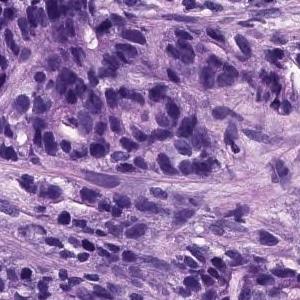
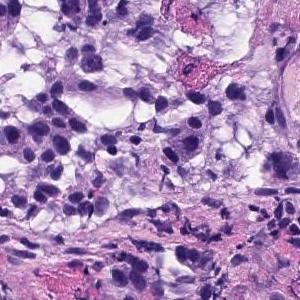
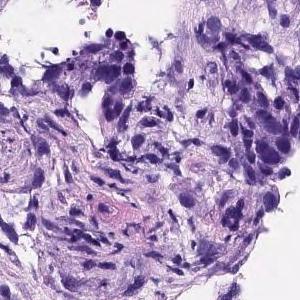
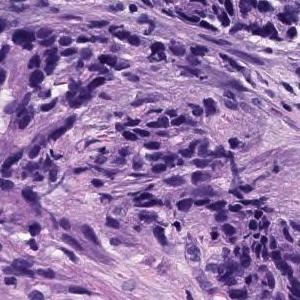
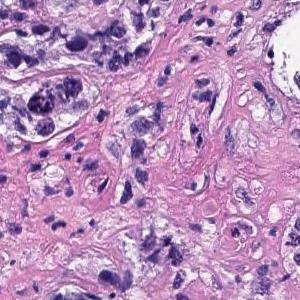
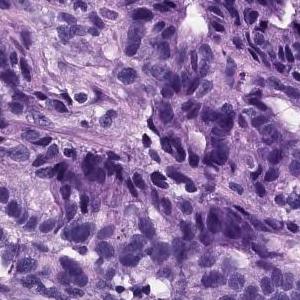
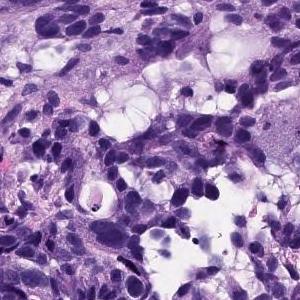
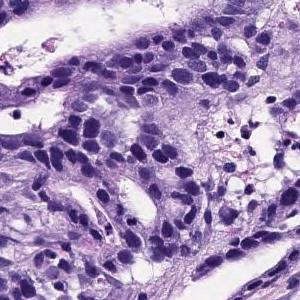
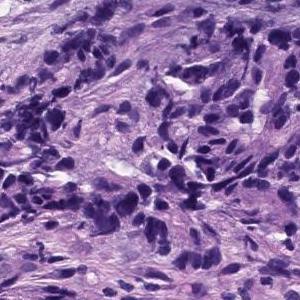
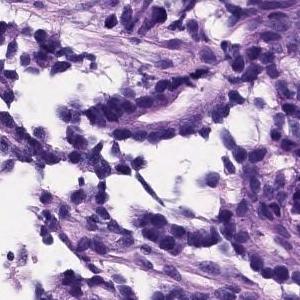
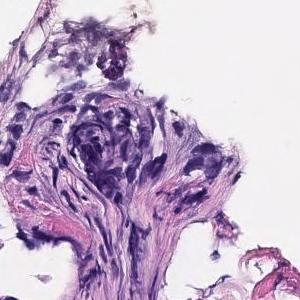
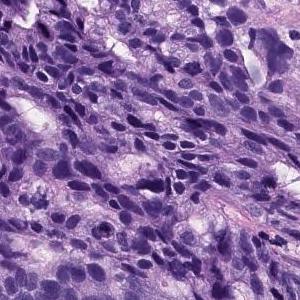
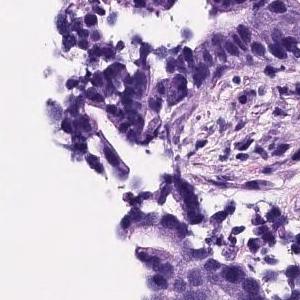
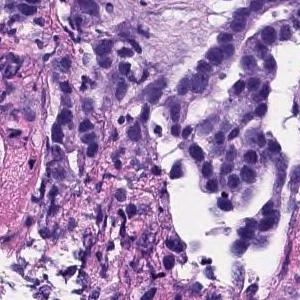
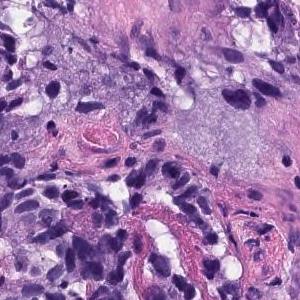
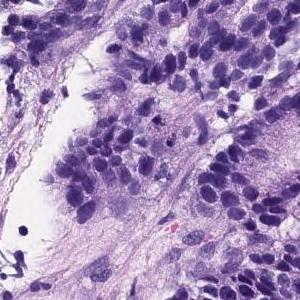
Scanned at ×20 · 16 tiles cut from one stomach biopsy slide.
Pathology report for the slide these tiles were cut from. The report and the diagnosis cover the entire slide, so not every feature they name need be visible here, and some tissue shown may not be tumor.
In the superficial epithelium, tumor tissue that invades by forming medium-sized to small, irregular ducts is observed. Tumor cells are columnar or cuboidal in shape. Moderately differentiated adenocarcinoma.
Classified as moderately differentiated tubular adenocarcinoma.
